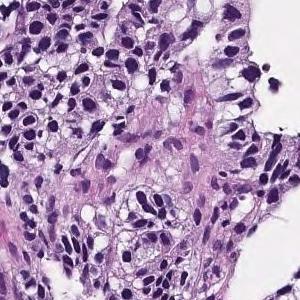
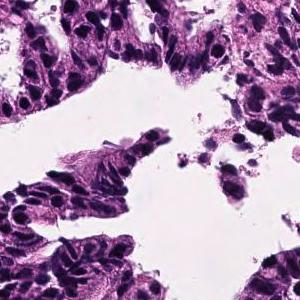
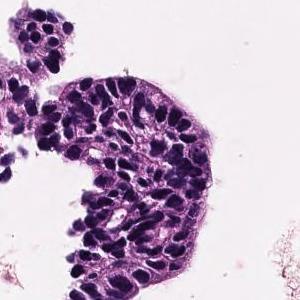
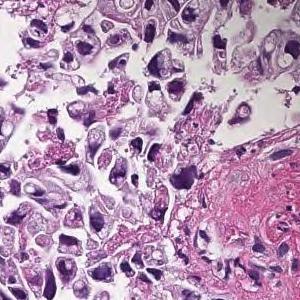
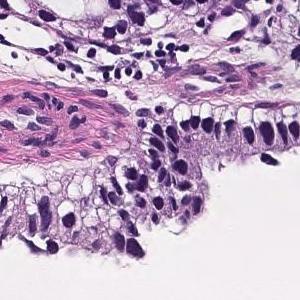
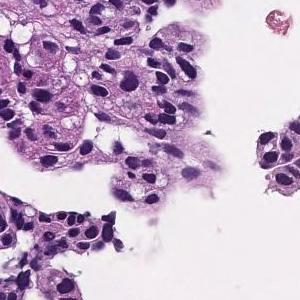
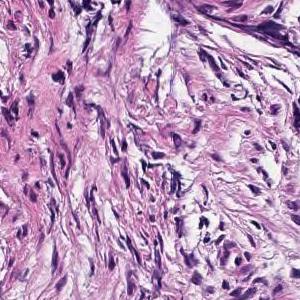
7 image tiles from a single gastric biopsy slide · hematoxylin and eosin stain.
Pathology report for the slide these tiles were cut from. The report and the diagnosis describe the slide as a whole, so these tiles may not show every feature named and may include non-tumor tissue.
Tumor cells are large, highly columnar, large club-shaped nuclei, and are associated with chromatin aggregation. Papillary adenocarcinoma.
